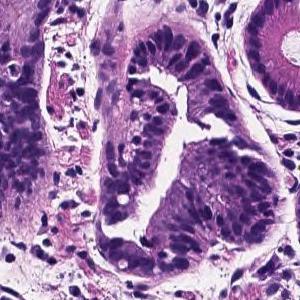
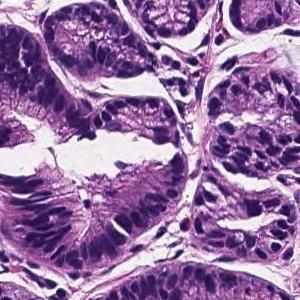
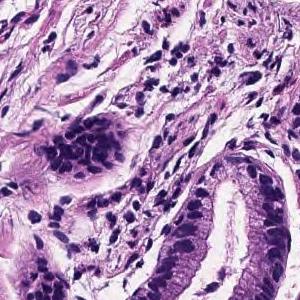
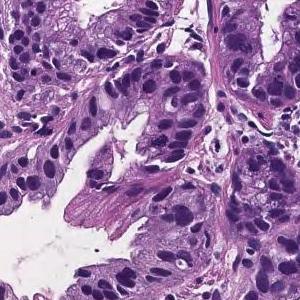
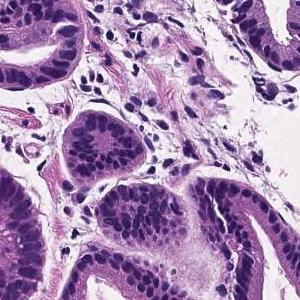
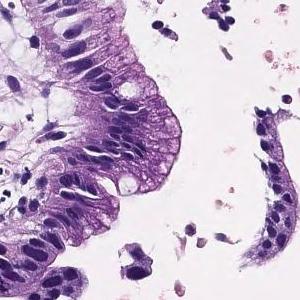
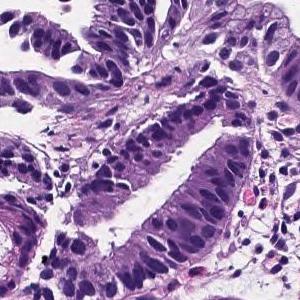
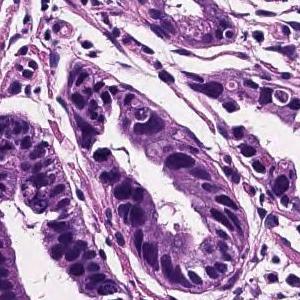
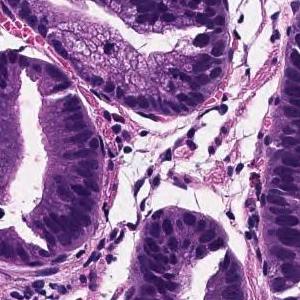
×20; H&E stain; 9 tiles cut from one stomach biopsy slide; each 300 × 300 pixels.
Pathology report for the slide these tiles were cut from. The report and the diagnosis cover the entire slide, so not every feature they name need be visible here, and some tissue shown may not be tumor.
Tumor cells are large, highly columnar, large club-shaped nuclei, and are associated with chromatin aggregation. Papillary adenocarcinoma.
